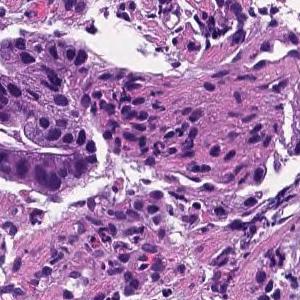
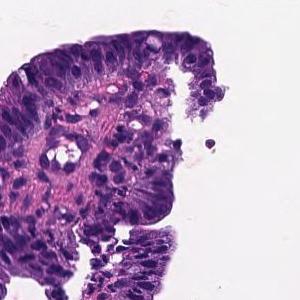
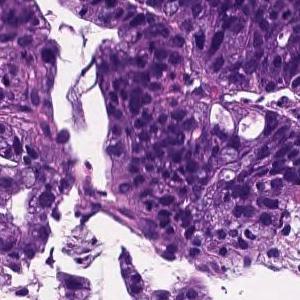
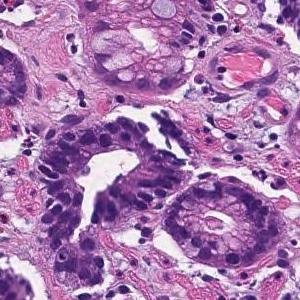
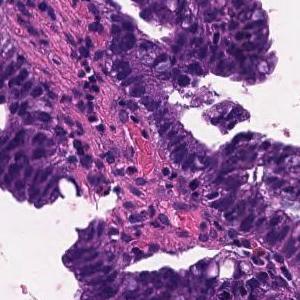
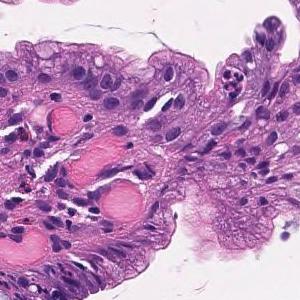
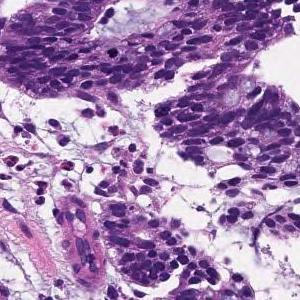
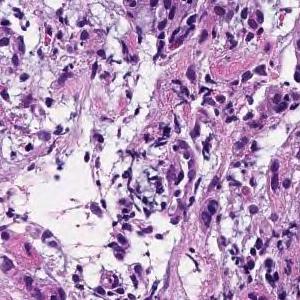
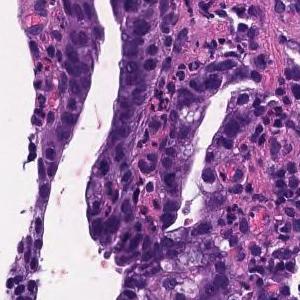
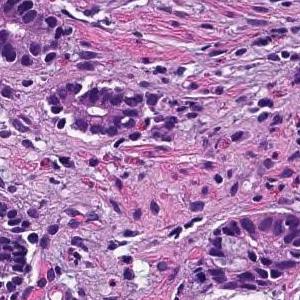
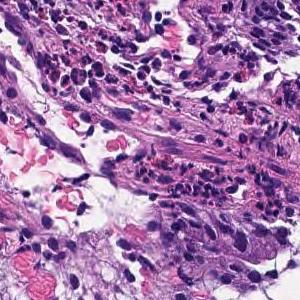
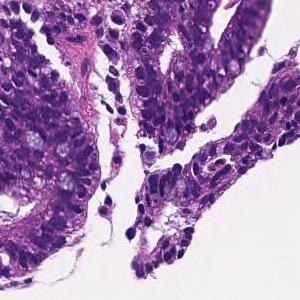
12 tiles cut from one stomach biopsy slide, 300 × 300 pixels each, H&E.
Pathology report for the biopsy slide these tiles were cut from. What the report and the diagnosis say applies to the whole slide; these tiles may miss some of the features named and may include tissue that is not tumor.
Tumor cells are large, highly columnar, large club-shaped nuclei, and are associated with chromatin aggregation. Papillary adenocarcinoma.
